Scanned at ×20; hematoxylin and eosin stain; 13 tiles cut from one stomach biopsy slide; each 300 × 300 pixels.
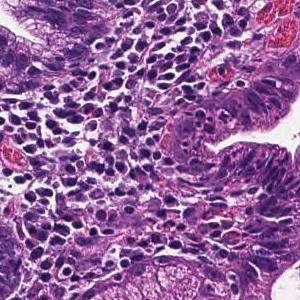
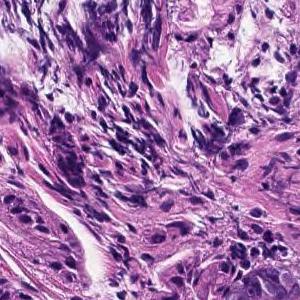
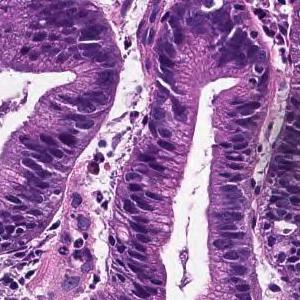
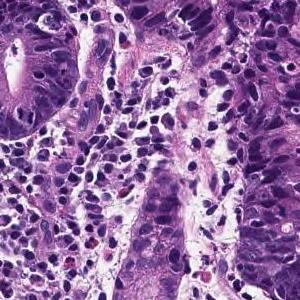
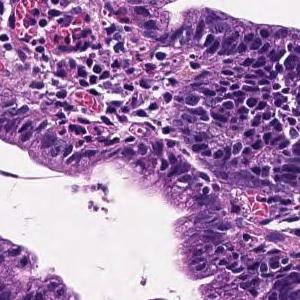
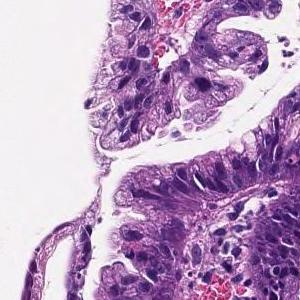
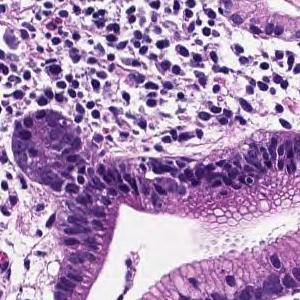
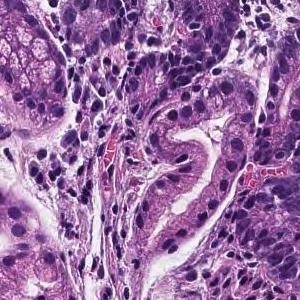
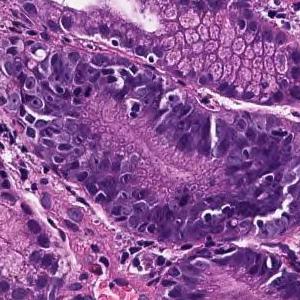
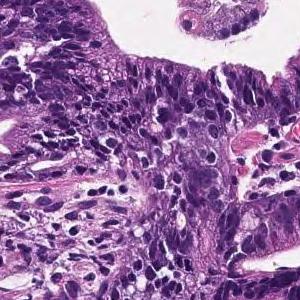
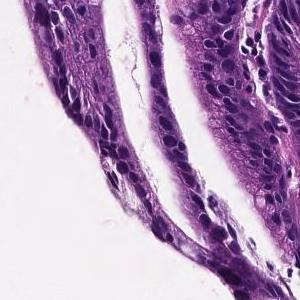
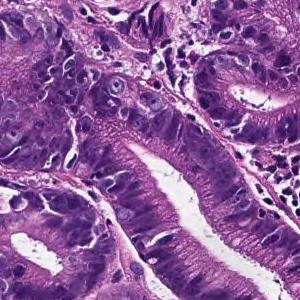
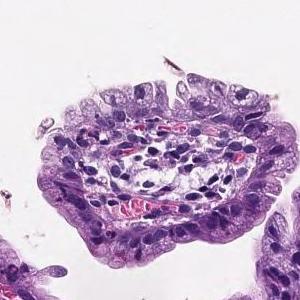
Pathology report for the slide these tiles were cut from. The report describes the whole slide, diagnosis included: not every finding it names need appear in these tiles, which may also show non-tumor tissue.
From the superficial epithelium to the muscularis mucosae, tumor tissue consisting of medium-sized and irregular glandular ducts infiltrating is observed. Well differentiated tubular adenocarcinoma
